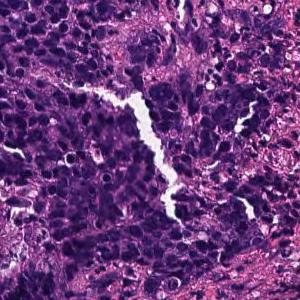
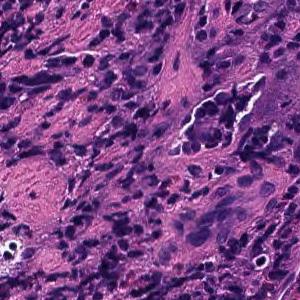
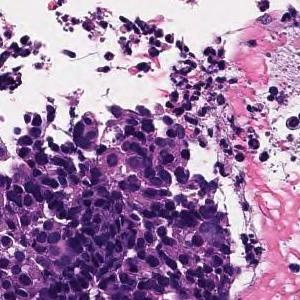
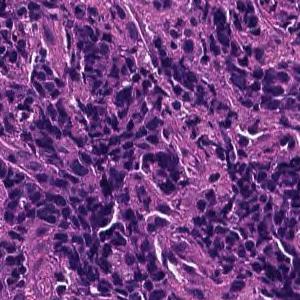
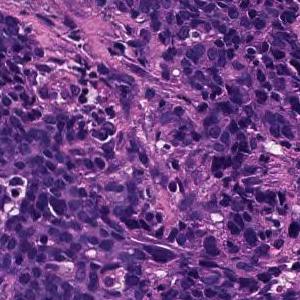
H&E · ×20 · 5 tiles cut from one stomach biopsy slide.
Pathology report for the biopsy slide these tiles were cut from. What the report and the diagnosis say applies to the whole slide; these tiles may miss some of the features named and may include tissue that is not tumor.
Tumor tissue consisting of cord-like or small, irregular glandular ducts fused and infiltrated is observed in the superficial epithelium. Poorly differentiated adenocarcinoma, non-solid type
The non-solid type named here is a Japanese Classification of Gastric Carcinoma category.
